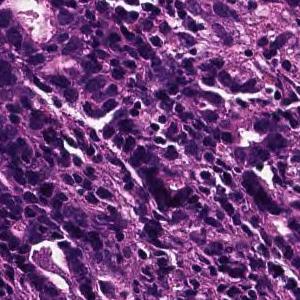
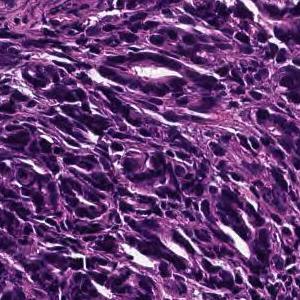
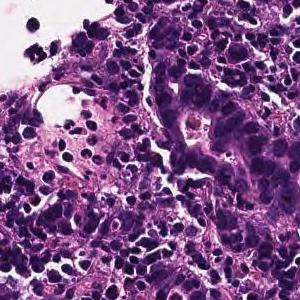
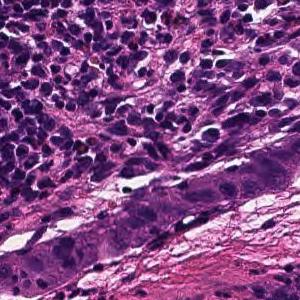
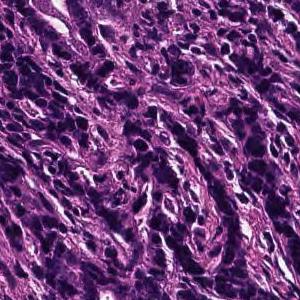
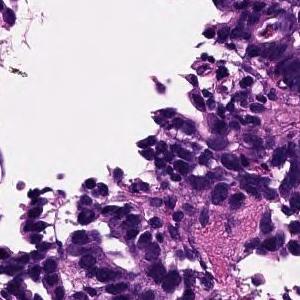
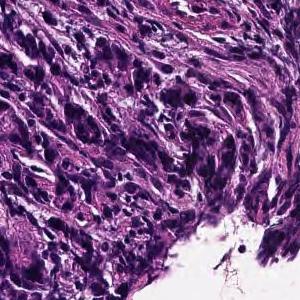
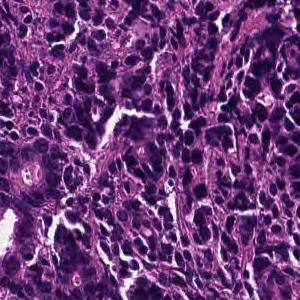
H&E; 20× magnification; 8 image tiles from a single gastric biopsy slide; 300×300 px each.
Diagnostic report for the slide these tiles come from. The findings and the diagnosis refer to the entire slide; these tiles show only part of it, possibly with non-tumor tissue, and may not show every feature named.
On the superficial epithelium, tumor tissue is found in which medium-sized irregular gland ducts fuse with each other and infiltrate. moderately differentiated tubular adenocarcinoma or Poorly differentiated adenocarcinoma, non-solid type
Histologic type: Moderately to poorly differentiated adenocarcinoma.
"Non-solid type" is a category of the Japanese Classification of Gastric Carcinoma.
